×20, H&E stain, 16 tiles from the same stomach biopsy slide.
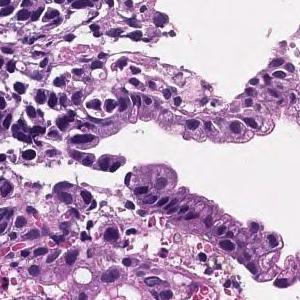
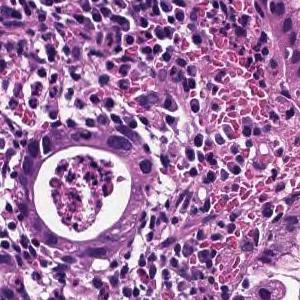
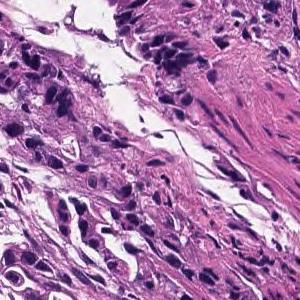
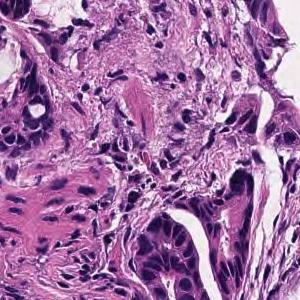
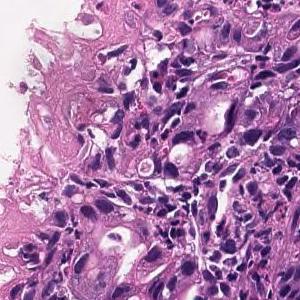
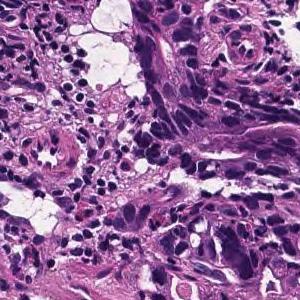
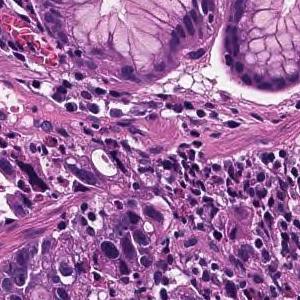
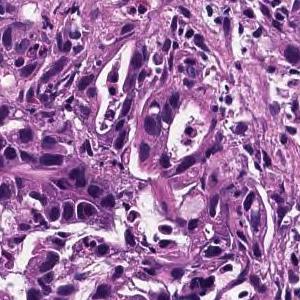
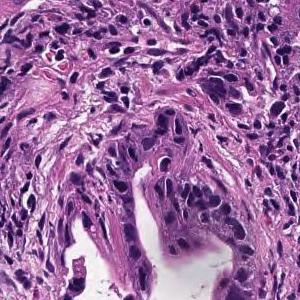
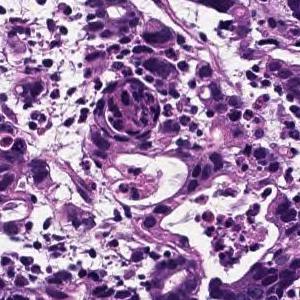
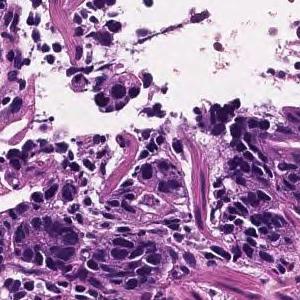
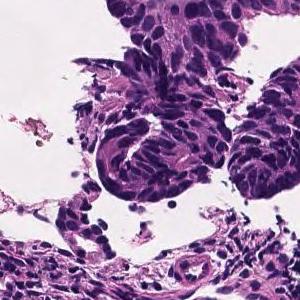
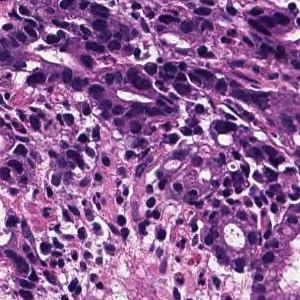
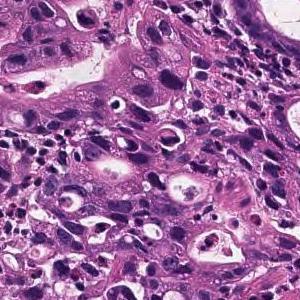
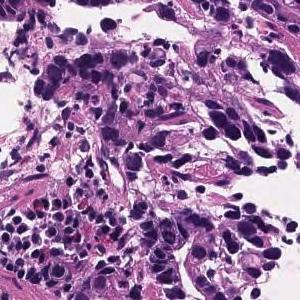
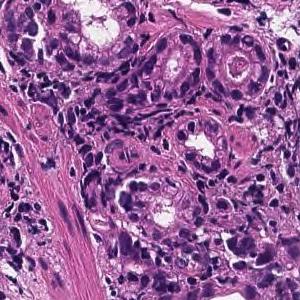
Diagnostic report for the slide these tiles come from. What the report and the diagnosis say applies to the whole slide; these tiles may miss some of the features named and may include tissue that is not tumor.
In the superficial epithelium, tumor tissue that invades by forming medium-sized to small, irregular ducts is observed. moderately differentiated tubular adenocarcinoma.
